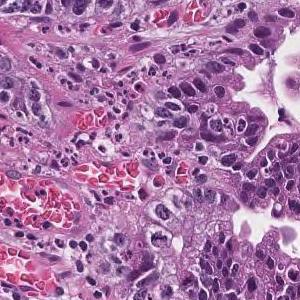
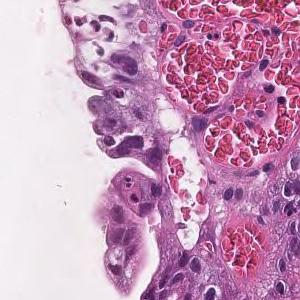
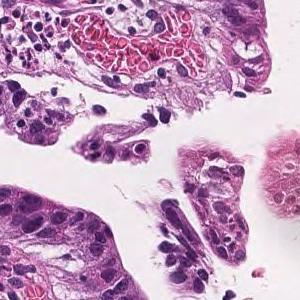
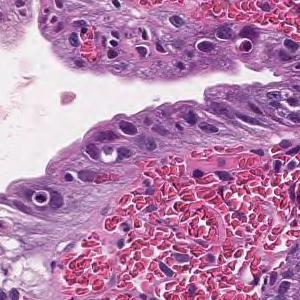
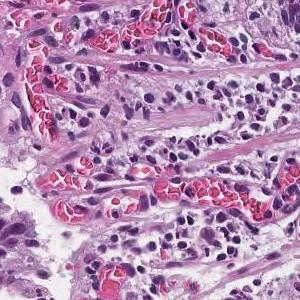
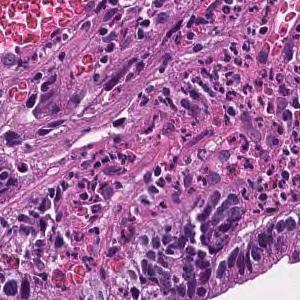
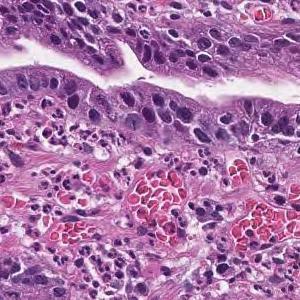
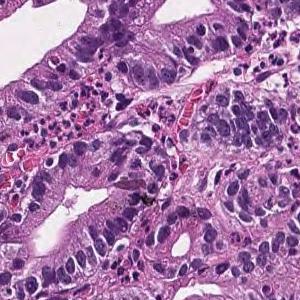
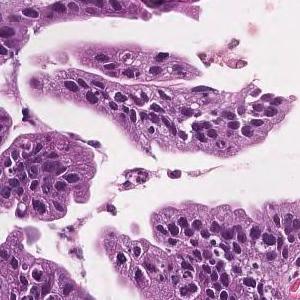
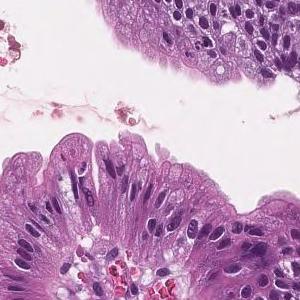
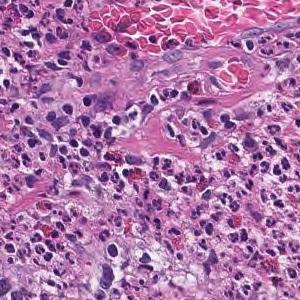
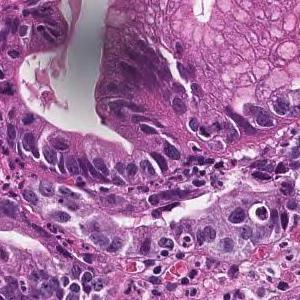
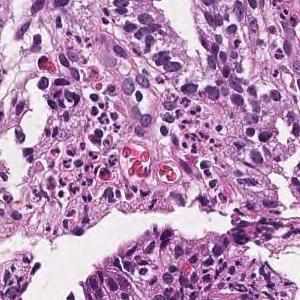
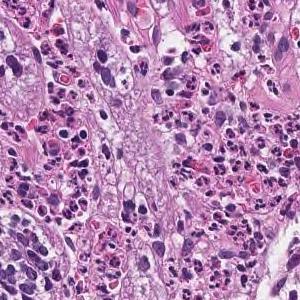
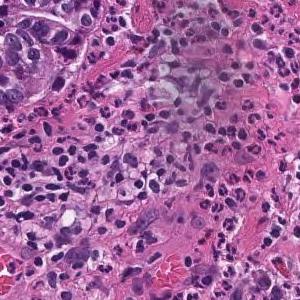
15 patches cut from one gastric biopsy slide, each 300 × 300 pixels, ×20, H&E.
Pathology report for the biopsy slide these tiles were cut from. The findings and the diagnosis refer to the entire slide; these tiles show only part of it, possibly with non-tumor tissue, and may not show every feature named.
Tumor cells are large, highly columnar, large club-shaped nuclei, and are associated with chromatin aggregation. Papillary adenocarcinoma.
